H&E stain · 9 image tiles from a single gastric biopsy slide · 300 × 300 pixels each.
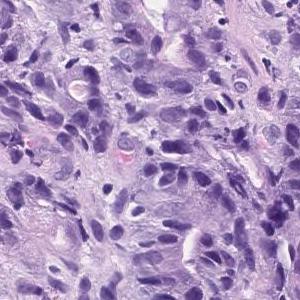
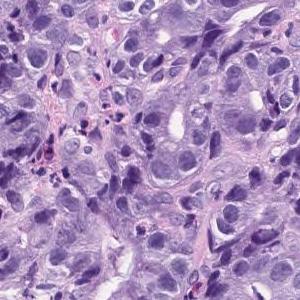
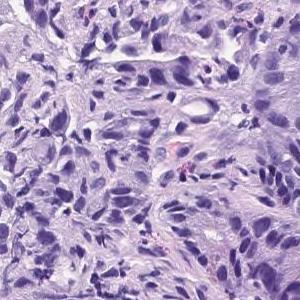
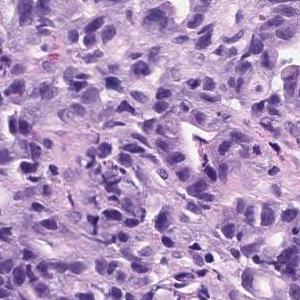
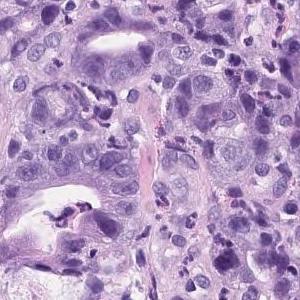
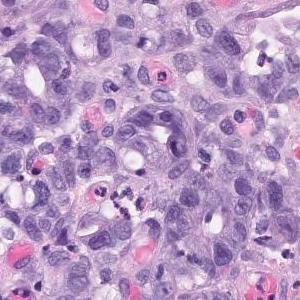
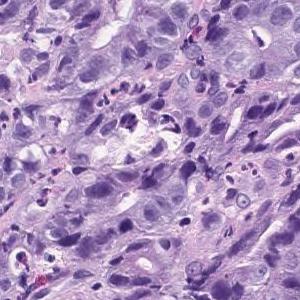
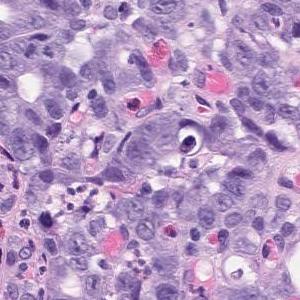
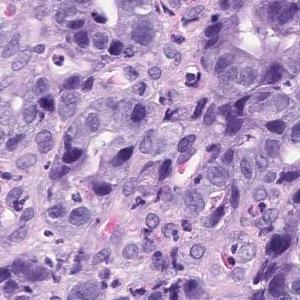
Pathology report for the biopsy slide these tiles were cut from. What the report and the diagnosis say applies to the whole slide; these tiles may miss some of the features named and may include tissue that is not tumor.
In the superficial epithelium, tumor tissue that invades by forming medium-sized to small, irregular ducts is observed. Moderately differentiated adenocarcinoma.
Histologic type: Moderately differentiated tubular adenocarcinoma.
